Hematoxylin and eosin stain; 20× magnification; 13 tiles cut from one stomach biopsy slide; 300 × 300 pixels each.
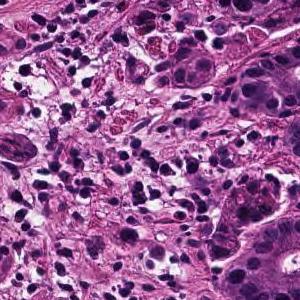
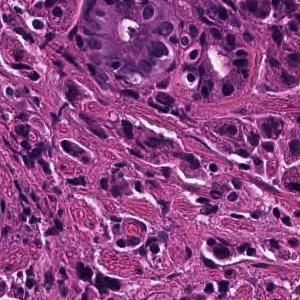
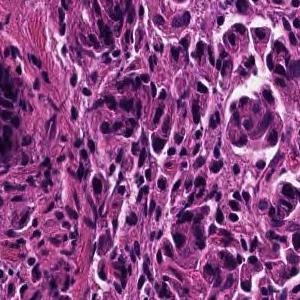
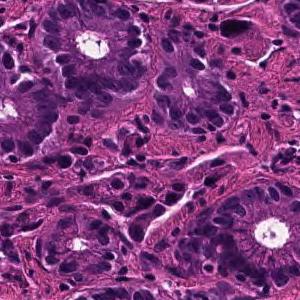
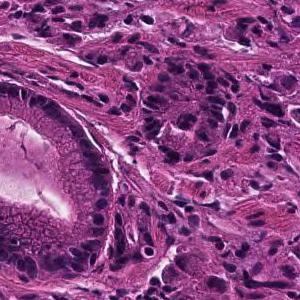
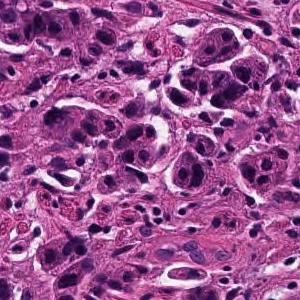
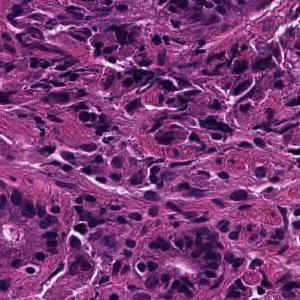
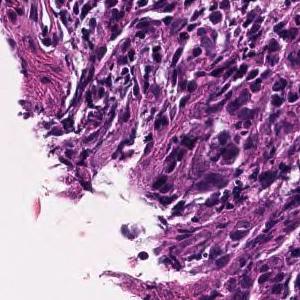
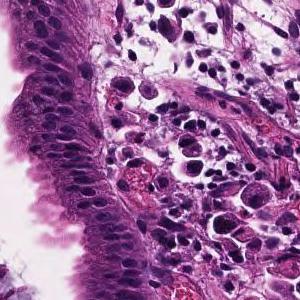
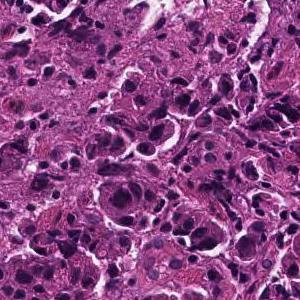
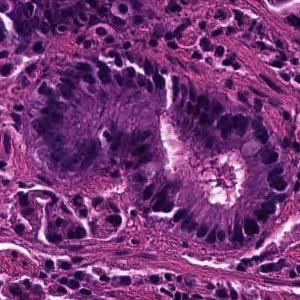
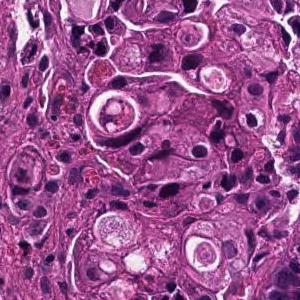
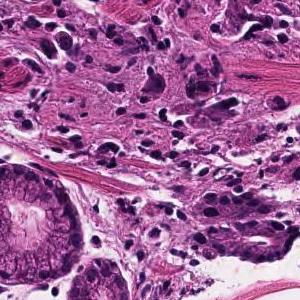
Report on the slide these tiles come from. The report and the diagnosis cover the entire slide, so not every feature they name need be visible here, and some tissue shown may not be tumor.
Tumor tissue consisting of cord-like or small, irregular glandular ducts fused and infiltrated is observed in the superficial epithelium. Poorly differentiated adenocarcinoma, non-solid type
"Non-solid type" is a category of the Japanese Classification of Gastric Carcinoma.
